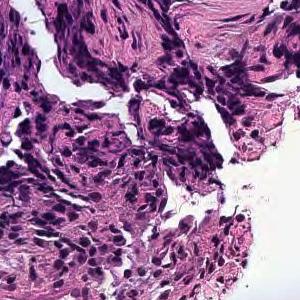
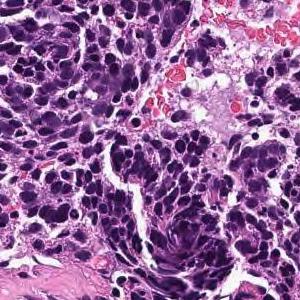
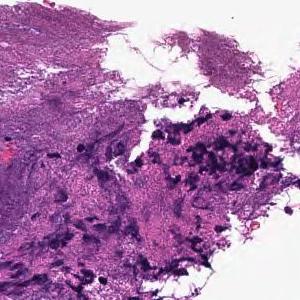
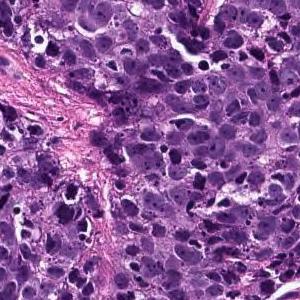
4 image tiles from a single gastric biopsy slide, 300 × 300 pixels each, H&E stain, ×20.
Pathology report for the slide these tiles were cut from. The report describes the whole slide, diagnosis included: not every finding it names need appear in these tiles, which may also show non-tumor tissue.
The superficial epithelium shows a large sheet or alveolar shape, and tumor tissue infiltrating without irregular ducts is observed. Poorly differentiated adenocarcinoma, solid-type
Subtype: Poorly differentiated adenocarcinoma, solid type (Japanese Classification of Gastric Carcinoma). The WHO 2019 equivalent is tubular adenocarcinoma, poorly differentiated.
